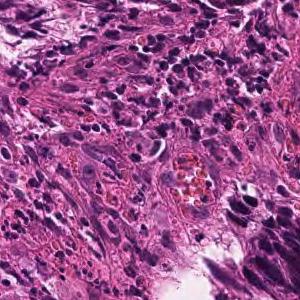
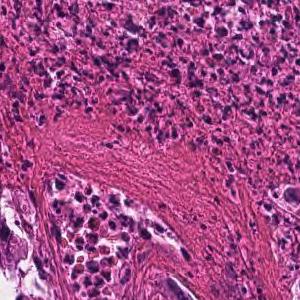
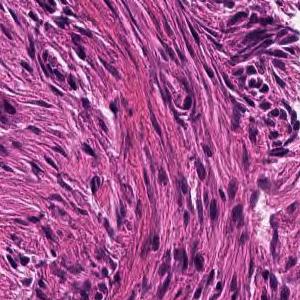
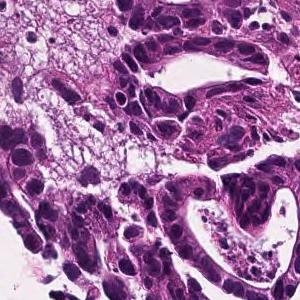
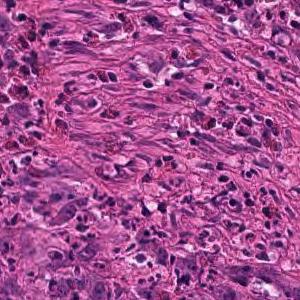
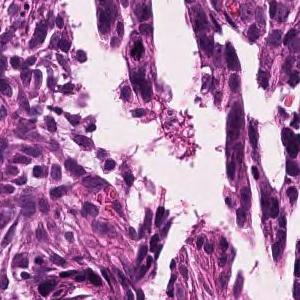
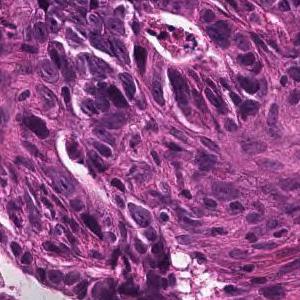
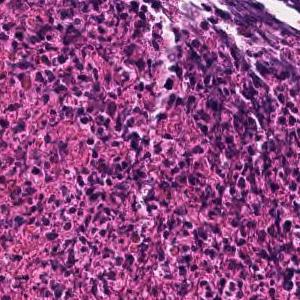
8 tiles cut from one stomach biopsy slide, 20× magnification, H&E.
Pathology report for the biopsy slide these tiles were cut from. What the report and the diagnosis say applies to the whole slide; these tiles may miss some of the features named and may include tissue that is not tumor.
In the superficial epithelium, tumor tissue that invades by forming medium-sized to small, irregular ducts is observed. moderately differentiated tubular adenocarcinoma.
